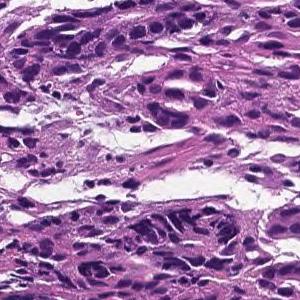
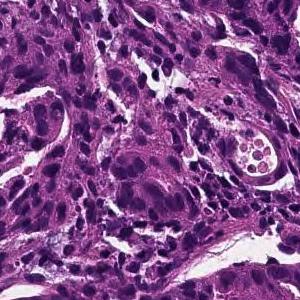
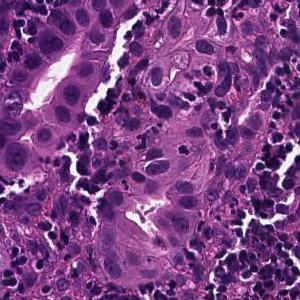
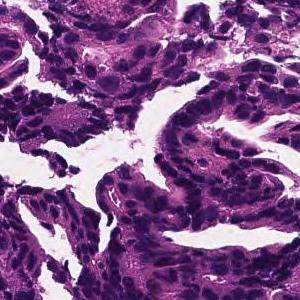
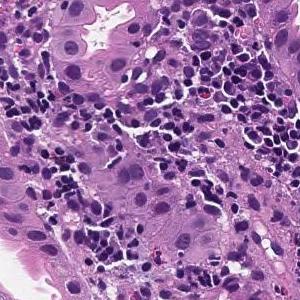
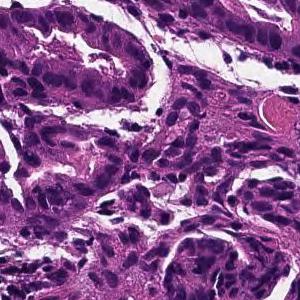
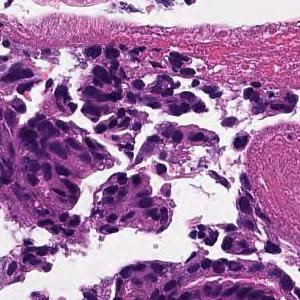
7 image tiles from a single gastric biopsy slide; 300 × 300 pixels each; scanned at ×20; hematoxylin and eosin stain.
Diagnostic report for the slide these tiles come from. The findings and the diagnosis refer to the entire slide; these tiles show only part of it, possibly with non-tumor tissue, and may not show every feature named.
In the superficial epithelium, tumor tissue that invades by forming medium-sized to small, irregular ducts is observed. moderately differentiated tubular adenocarcinoma.
